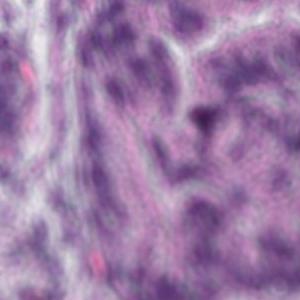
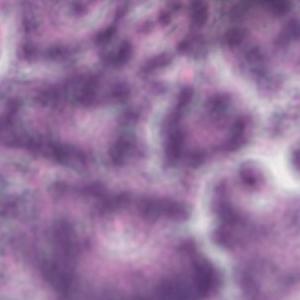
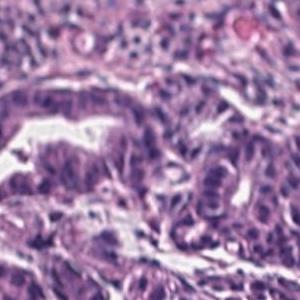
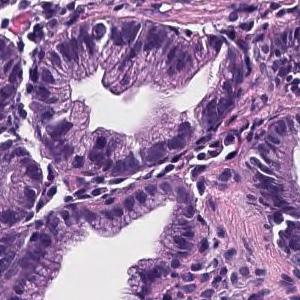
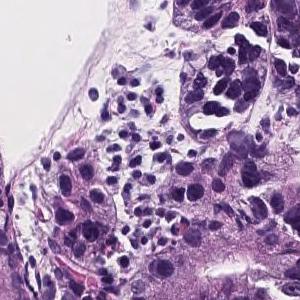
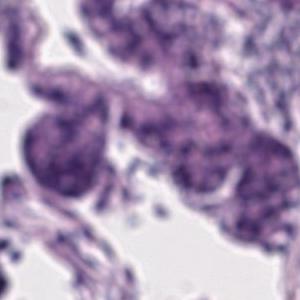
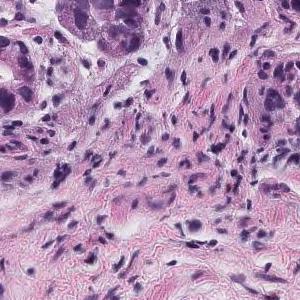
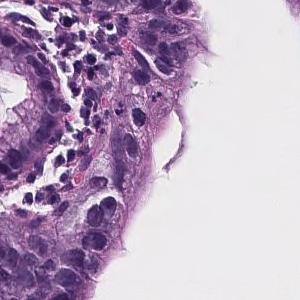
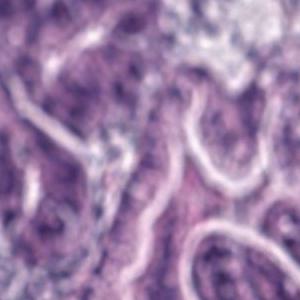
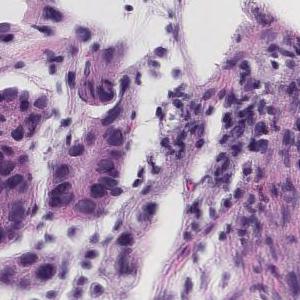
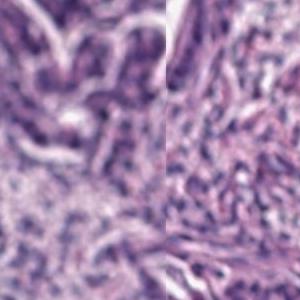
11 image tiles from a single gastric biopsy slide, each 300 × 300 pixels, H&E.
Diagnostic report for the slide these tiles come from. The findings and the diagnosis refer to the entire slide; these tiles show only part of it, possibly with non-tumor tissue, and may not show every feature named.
On the superficial epithelium, tumor tissue consisting of medium to small irregular tubules partially fused and proliferated is observed. Well differentiated tubular adenocarcinoma
